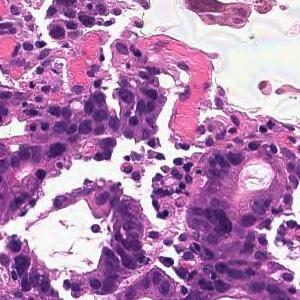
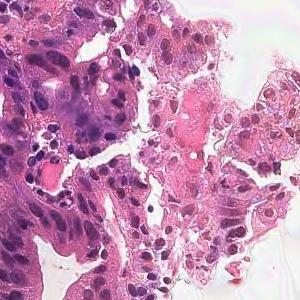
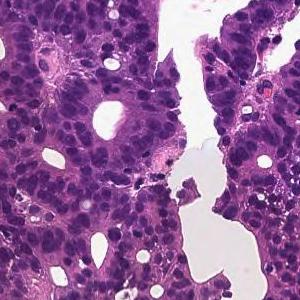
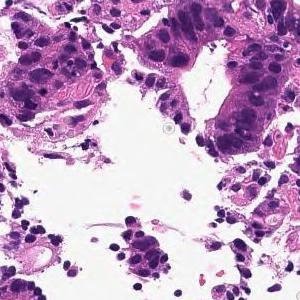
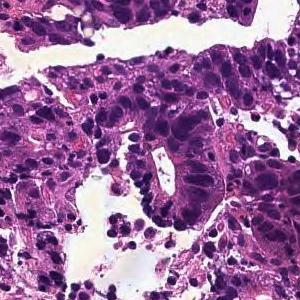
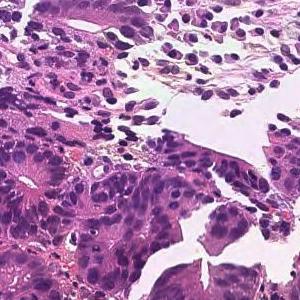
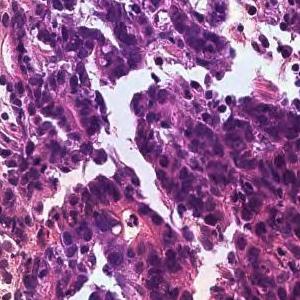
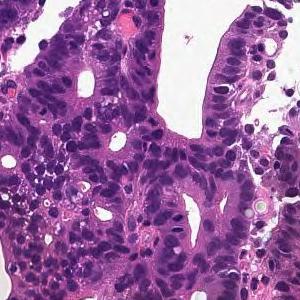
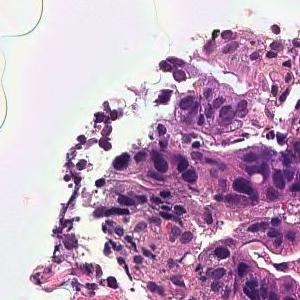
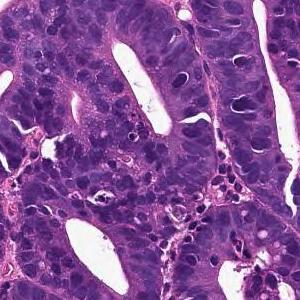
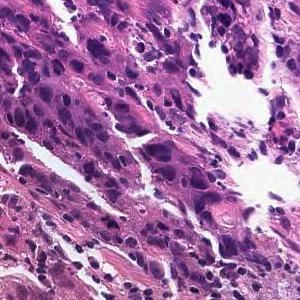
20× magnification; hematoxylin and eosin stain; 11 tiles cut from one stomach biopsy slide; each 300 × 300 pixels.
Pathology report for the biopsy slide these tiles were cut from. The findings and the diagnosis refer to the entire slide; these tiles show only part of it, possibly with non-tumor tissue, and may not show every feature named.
On the superficial epithelium, tumor tissue consisting of large irregular glandular ducts partially fused and infiltrated is observed. Well to moderately differentiated tubular adenocarcinoma (well differentiated tubular adenocarcinoma, moderately differentiated tubular adenocarcinoma)
Subtype: Well to moderately differentiated tubular adenocarcinoma.
